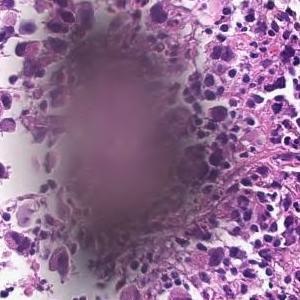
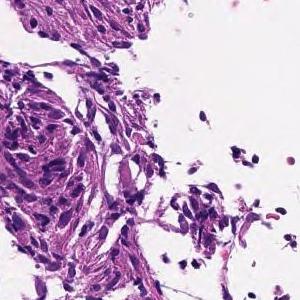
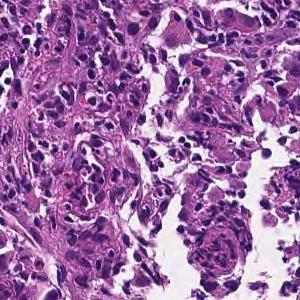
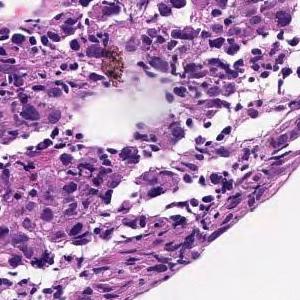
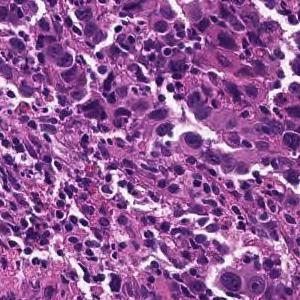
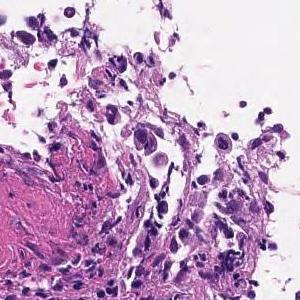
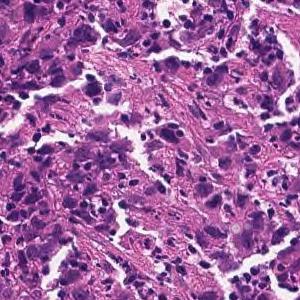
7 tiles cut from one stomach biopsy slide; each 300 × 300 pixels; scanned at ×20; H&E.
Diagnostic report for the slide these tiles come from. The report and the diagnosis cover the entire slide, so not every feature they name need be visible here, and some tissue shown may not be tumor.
The superficial epithelium shows a large sheet-like shape, and some tumor tissue infiltrates with small irregular ducts. Poorly differentiated adenocarcinoma, solid-type (poorly differentiated adenocarcinoma, solid type)
Histological subtype: Poorly differentiated adenocarcinoma, solid type, a category of the Japanese Classification of Gastric Carcinoma; in the WHO 2019 classification it is tubular adenocarcinoma, poorly differentiated.
